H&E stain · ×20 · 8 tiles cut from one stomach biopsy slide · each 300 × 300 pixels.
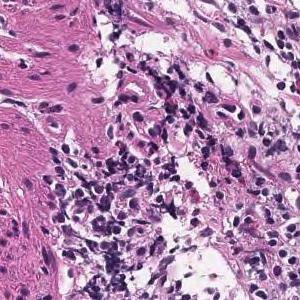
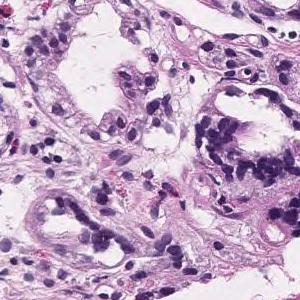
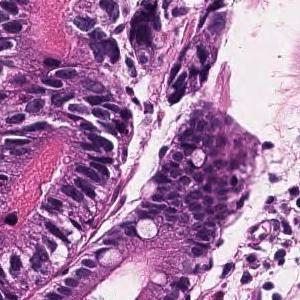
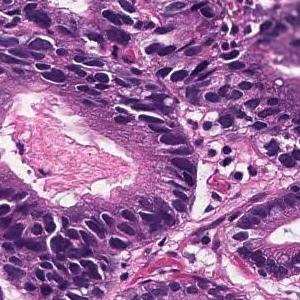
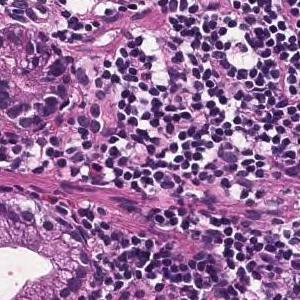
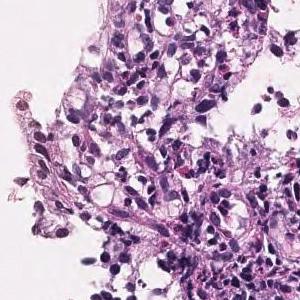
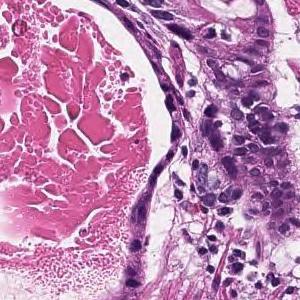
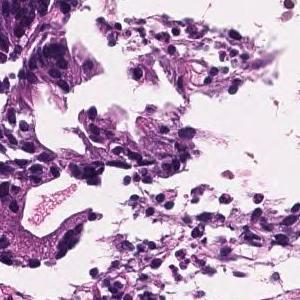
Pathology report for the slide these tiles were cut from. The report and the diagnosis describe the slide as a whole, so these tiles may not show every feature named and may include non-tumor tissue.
Tumor tissue consisting of medium-sized and irregular ducts is observed infiltrating in the superficial epithelium. Tumor cells are highly columnar, with nuclei aligned basolaterally and polarized. Well differentiated tubular adenocarcinoma.
